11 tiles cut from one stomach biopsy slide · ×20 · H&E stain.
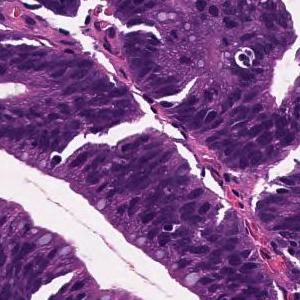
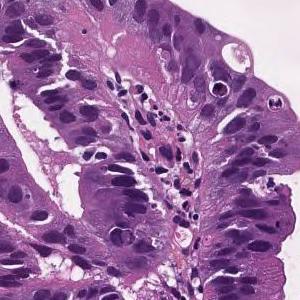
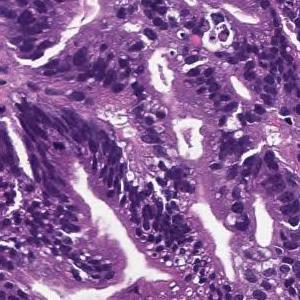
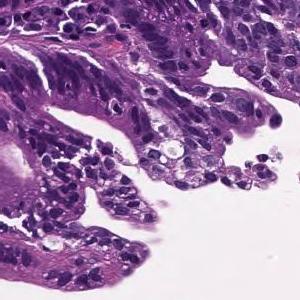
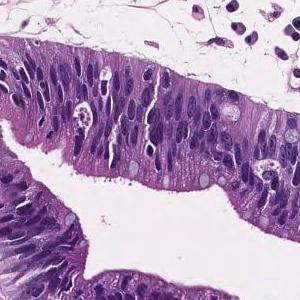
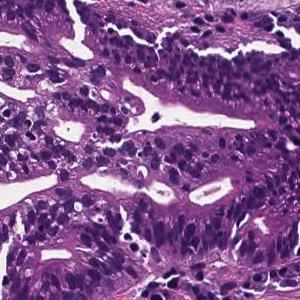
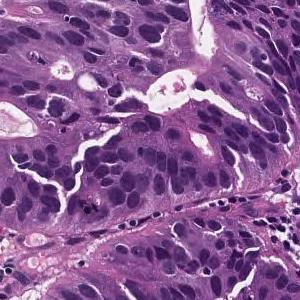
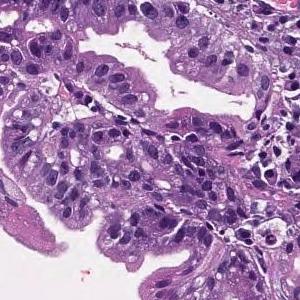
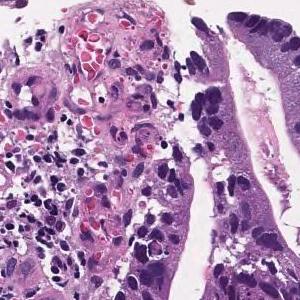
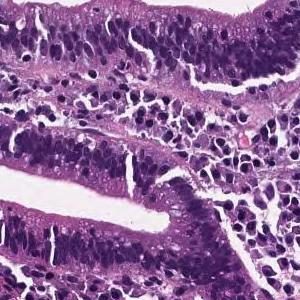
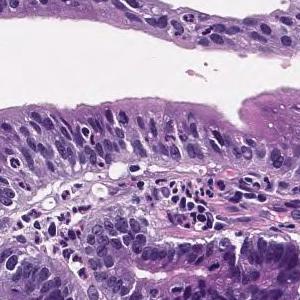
Pathology report for the biopsy slide these tiles were cut from. What the report and the diagnosis say applies to the whole slide; these tiles may miss some of the features named and may include tissue that is not tumor.
Tumor cells are large, highly columnar, large club-shaped nuclei, and are associated with chromatin aggregation. Papillary adenocarcinoma.
